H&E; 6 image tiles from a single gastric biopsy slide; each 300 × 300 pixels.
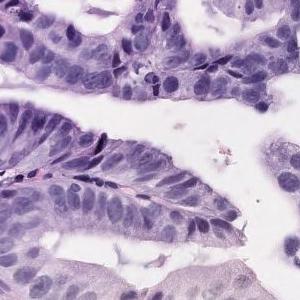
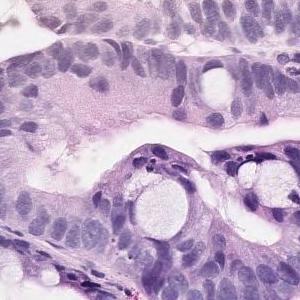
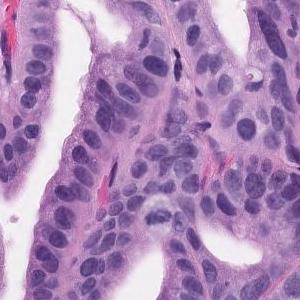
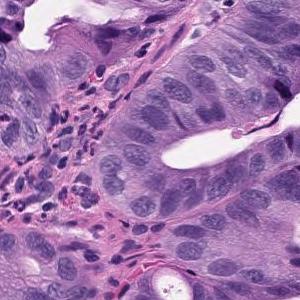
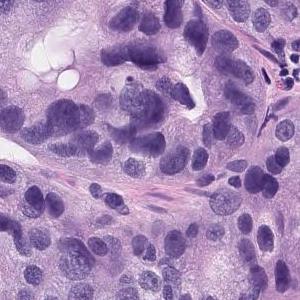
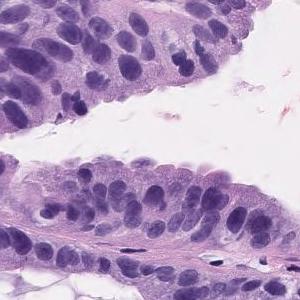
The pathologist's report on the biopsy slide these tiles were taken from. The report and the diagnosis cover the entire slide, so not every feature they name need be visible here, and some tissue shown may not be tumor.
Tumor tissue consisting of medium-sized and irregular ducts is observed infiltrating in the superficial epithelium. Tumor cells are highly columnar, with nuclei aligned basolaterally and polarized. Well differentiated tubular adenocarcinoma.
